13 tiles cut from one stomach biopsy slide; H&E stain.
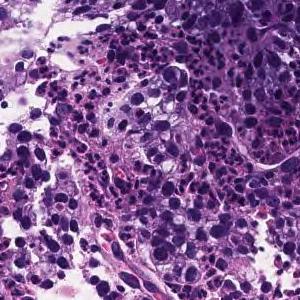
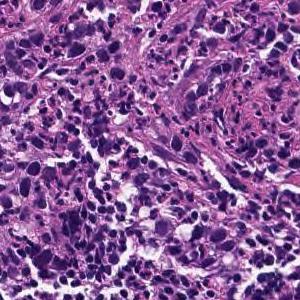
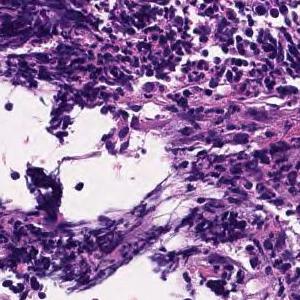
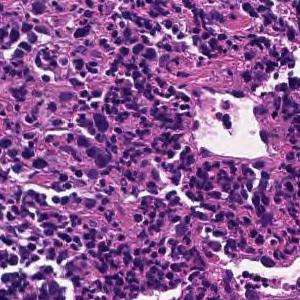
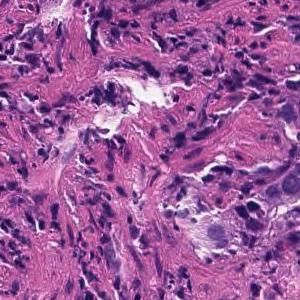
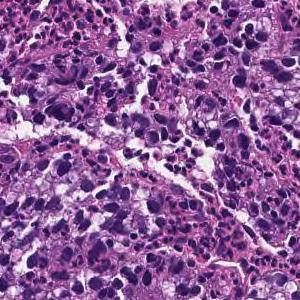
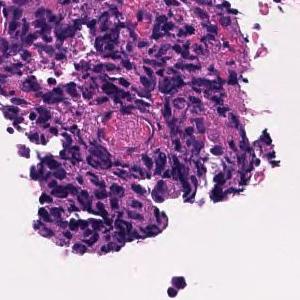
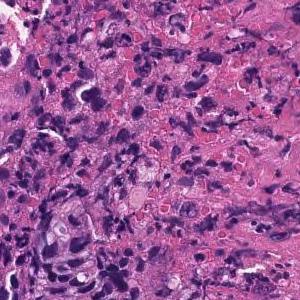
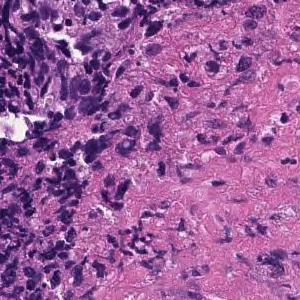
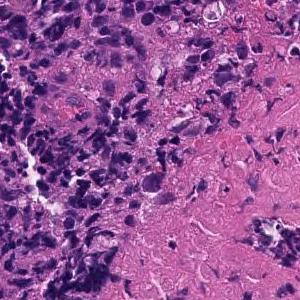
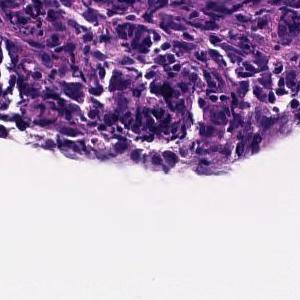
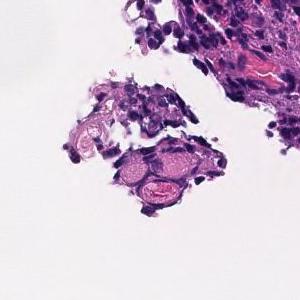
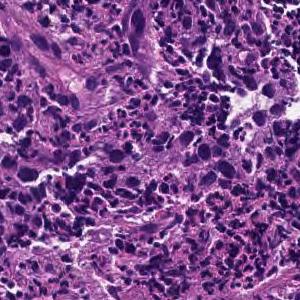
Diagnostic report for the slide these tiles come from. The report describes the whole slide, diagnosis included: not every finding it names need appear in these tiles, which may also show non-tumor tissue.
Tumor tissue consisting of cord-like or small, irregular glandular ducts fused and infiltrated is observed in the superficial epithelium. Poorly differentiated adenocarcinoma, non-solid type
The term "non-solid type" comes from the Japanese Classification of Gastric Carcinoma.
